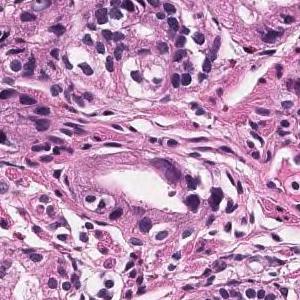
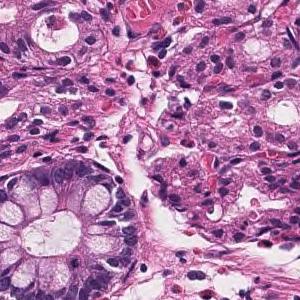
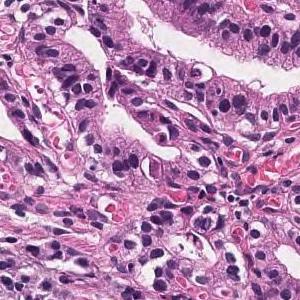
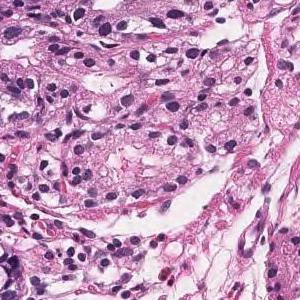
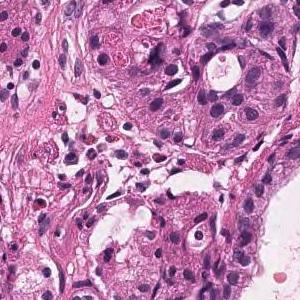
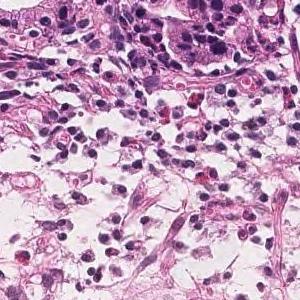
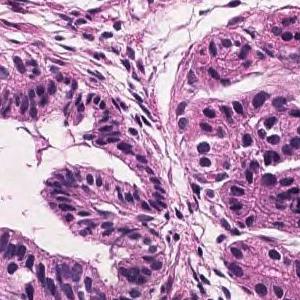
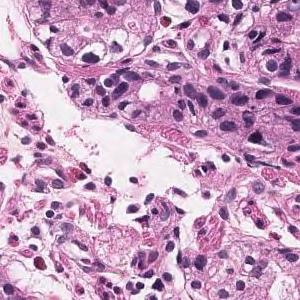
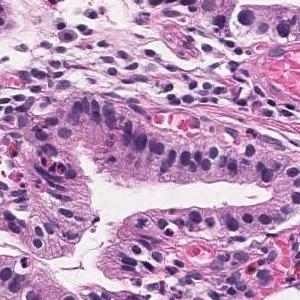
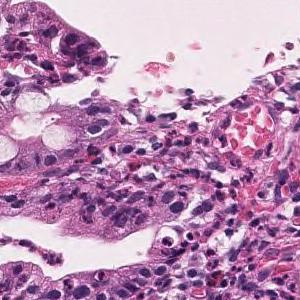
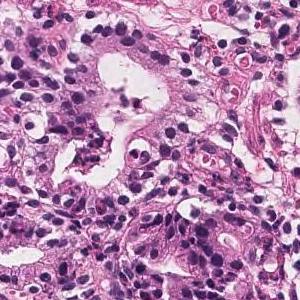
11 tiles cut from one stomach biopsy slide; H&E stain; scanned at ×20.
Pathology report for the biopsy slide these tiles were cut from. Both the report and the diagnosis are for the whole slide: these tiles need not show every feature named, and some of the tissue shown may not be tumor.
On the superficial epithelium, tumor tissue consisting of large, irregular glandular ducts partially fused and infiltrated is observed. Well differentiated tubular adenocarcinoma
